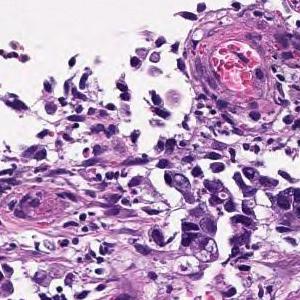
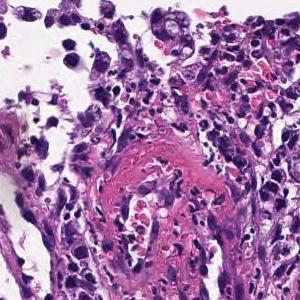
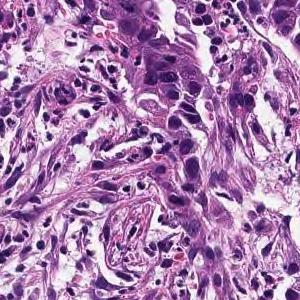
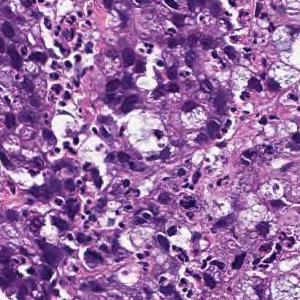
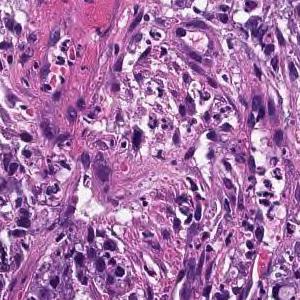
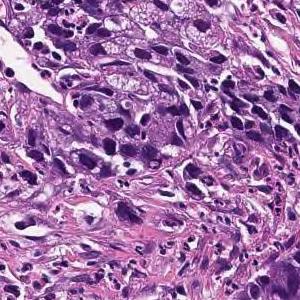
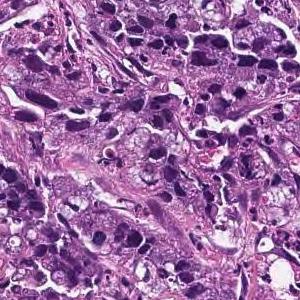
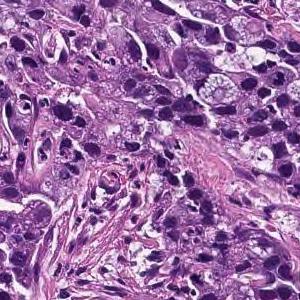
×20 · H&E · 8 tiles from the same stomach biopsy slide · 300 × 300 pixels each.
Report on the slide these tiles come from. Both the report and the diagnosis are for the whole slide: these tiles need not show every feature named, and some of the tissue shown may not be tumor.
Medium to small, irregular glandular ducts are formed in the superficial epithelium, and in some cases, the glandular ducts are fused to show solid alveolar lesions and infiltrating tumor tissue is observed. Moderately to poorly differentiated adenocarcinoma.
